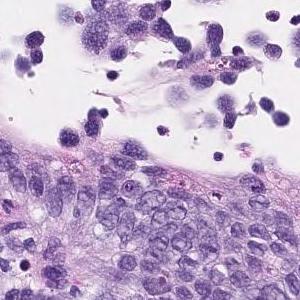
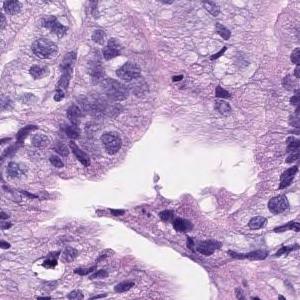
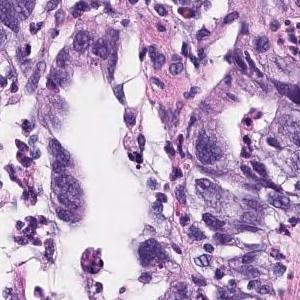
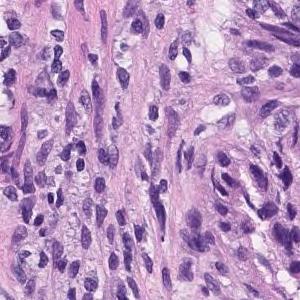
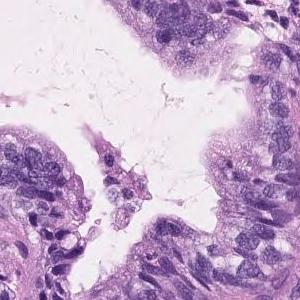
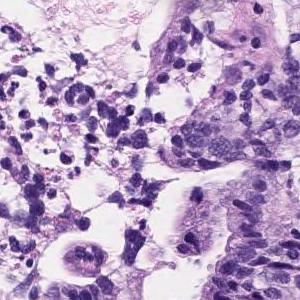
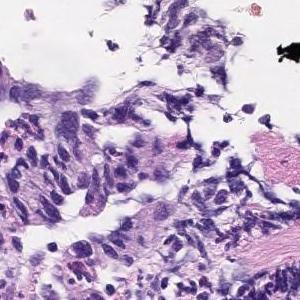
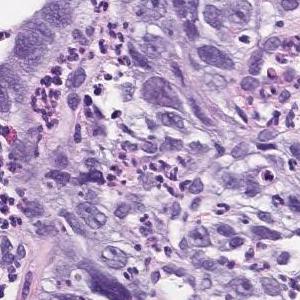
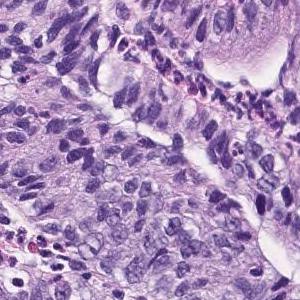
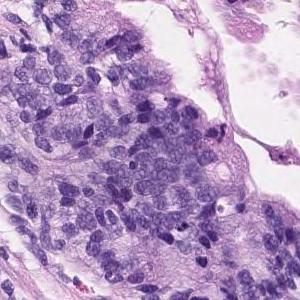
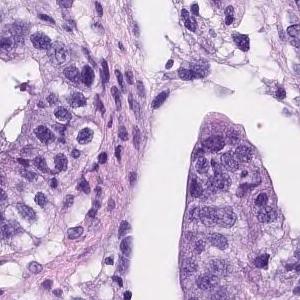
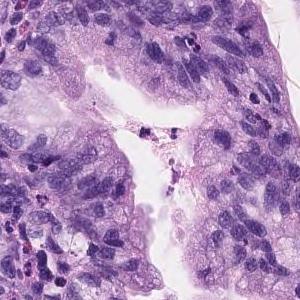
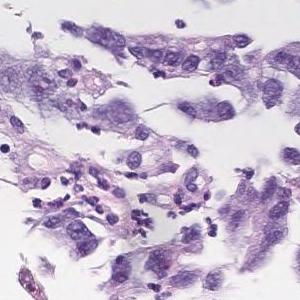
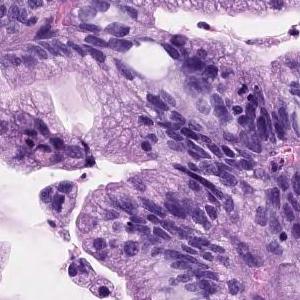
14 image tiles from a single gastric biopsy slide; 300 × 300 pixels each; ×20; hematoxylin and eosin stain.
The pathologist's report on the biopsy slide these tiles were taken from. What the report and the diagnosis say applies to the whole slide; these tiles may miss some of the features named and may include tissue that is not tumor.
Tumor cells are large, highly columnar, large club-shaped nuclei, and are associated with chromatin aggregation. Papillary adenocarcinoma.
